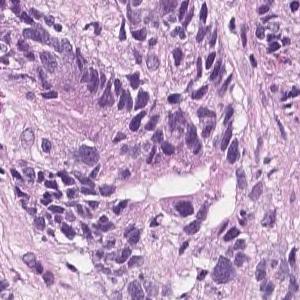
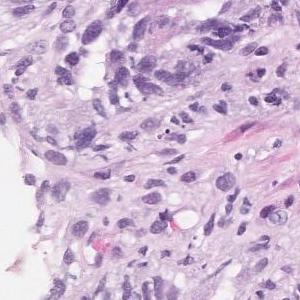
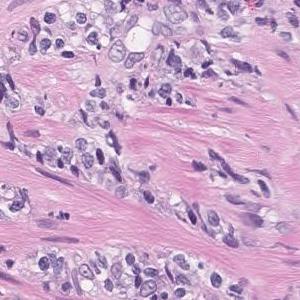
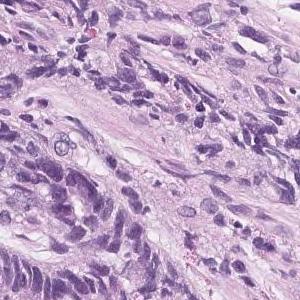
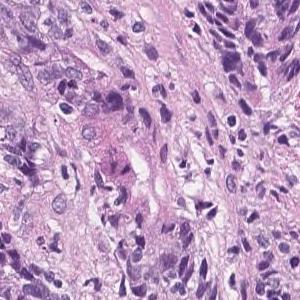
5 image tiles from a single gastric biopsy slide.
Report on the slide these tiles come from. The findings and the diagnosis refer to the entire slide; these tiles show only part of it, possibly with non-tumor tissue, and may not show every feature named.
Highly columnar epithelium with disordered nuclear localization proliferates showing fusion ductal construction. moderately differentiated tubular adenocarcinoma
